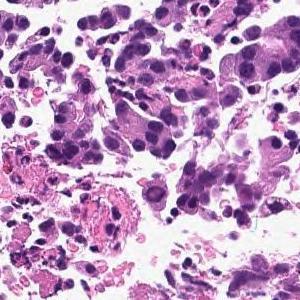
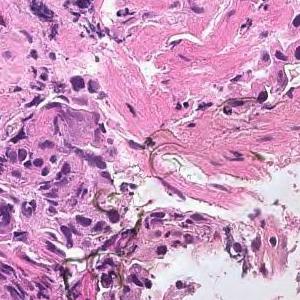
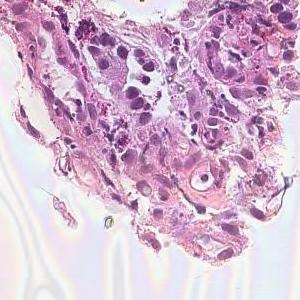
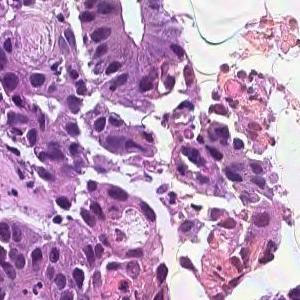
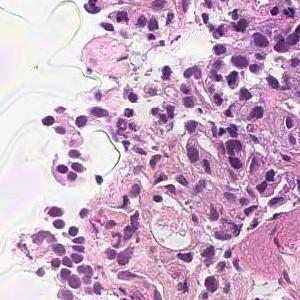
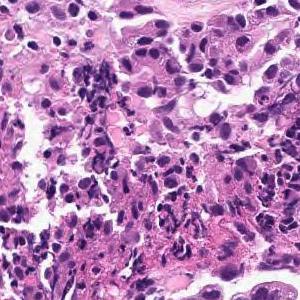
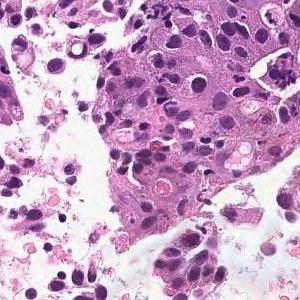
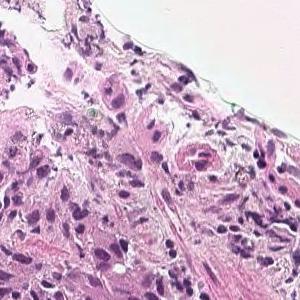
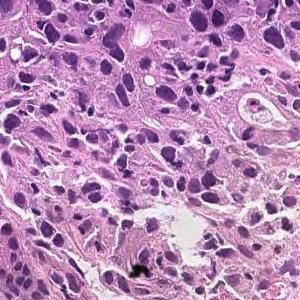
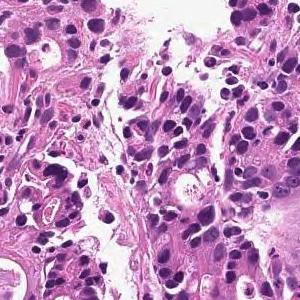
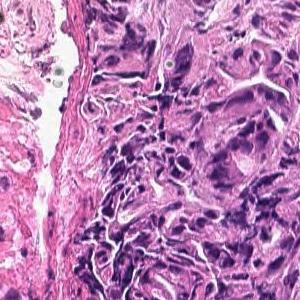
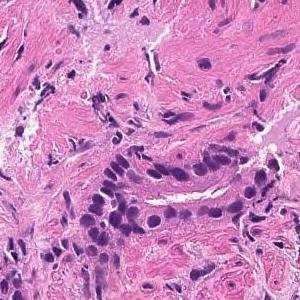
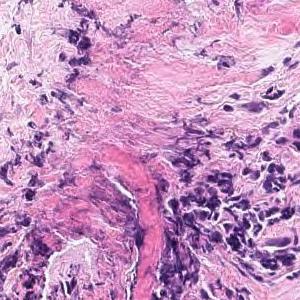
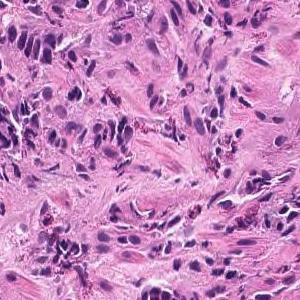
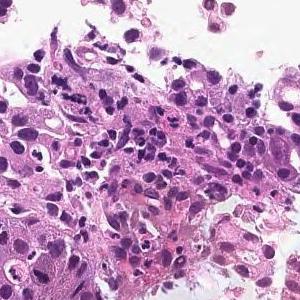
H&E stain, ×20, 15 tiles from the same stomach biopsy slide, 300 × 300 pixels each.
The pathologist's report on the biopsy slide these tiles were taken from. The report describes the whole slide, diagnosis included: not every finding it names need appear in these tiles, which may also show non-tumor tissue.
On the superficial epithelium, tumor tissue consisting of large irregular glandular ducts partially fused and infiltrated is observed. Well to moderately differentiated tubular adenocarcinoma (well differentiated tubular adenocarcinoma, moderately differentiated tubular adenocarcinoma)
Histological subtype: Well to moderately differentiated tubular adenocarcinoma.
